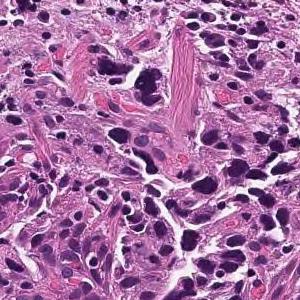
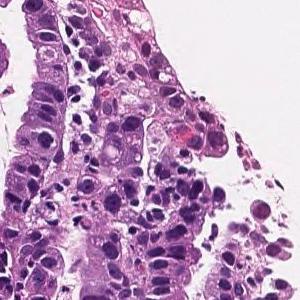
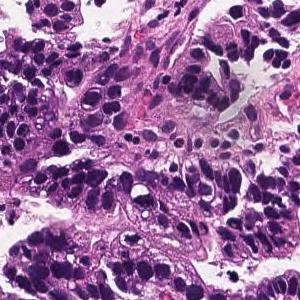
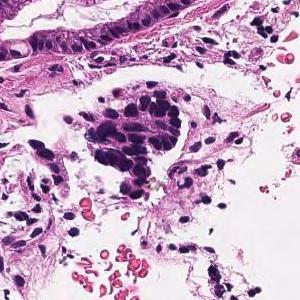
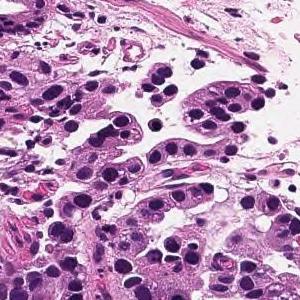
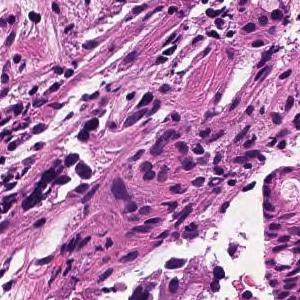
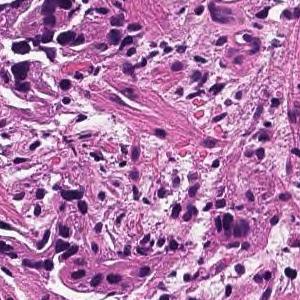
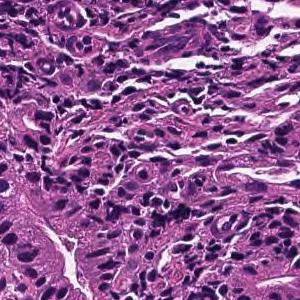
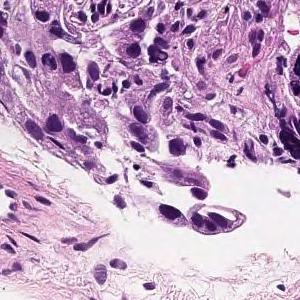
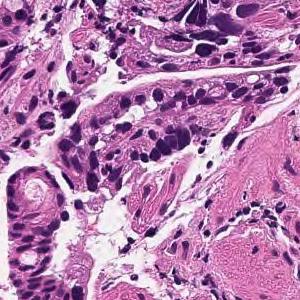
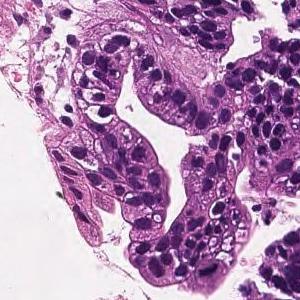
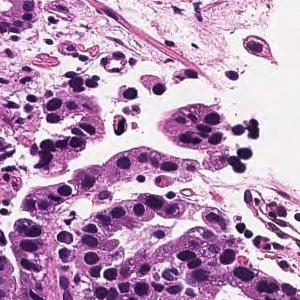
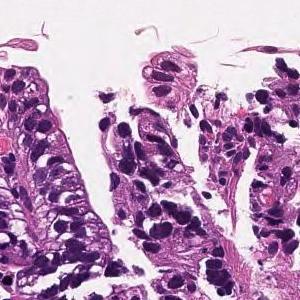
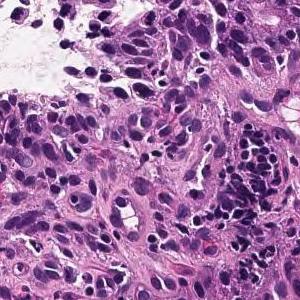
Scanned at ×20 · 14 image tiles from a single gastric biopsy slide.
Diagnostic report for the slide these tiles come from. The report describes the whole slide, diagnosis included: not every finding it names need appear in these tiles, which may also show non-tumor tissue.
On the superficial epithelium, tumor tissue is found in which medium-sized irregular gland ducts fuse with each other and infiltrate. moderately differentiated tubular adenocarcinoma or Poorly differentiated adenocarcinoma, non-solid type
Classified as moderately to poorly differentiated adenocarcinoma.
The non-solid type named here is a Japanese Classification of Gastric Carcinoma category.
